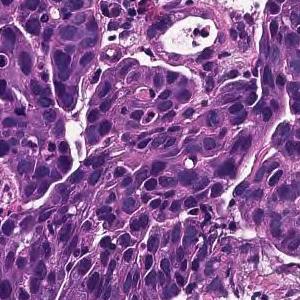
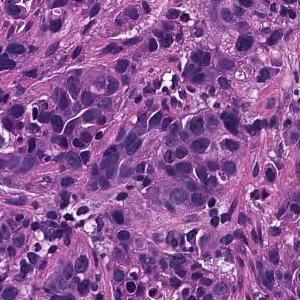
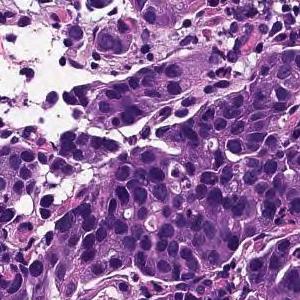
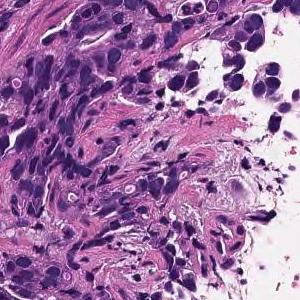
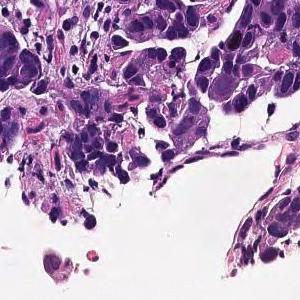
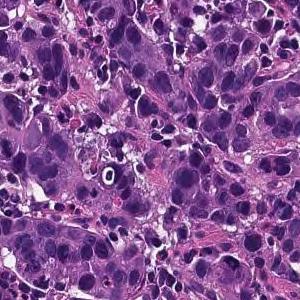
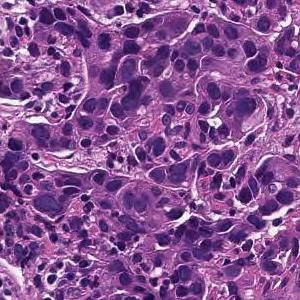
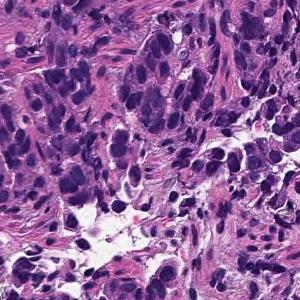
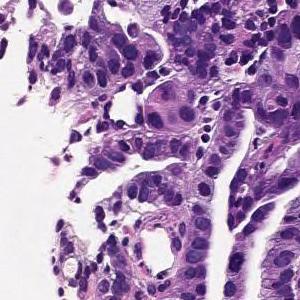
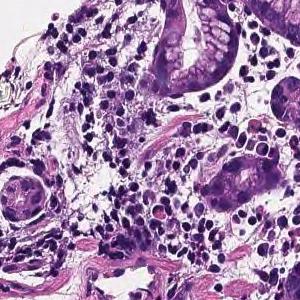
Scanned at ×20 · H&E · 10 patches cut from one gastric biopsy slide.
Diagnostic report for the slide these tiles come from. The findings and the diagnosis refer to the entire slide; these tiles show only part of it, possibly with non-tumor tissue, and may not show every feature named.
The superficial epithelium shows small cord-like infiltrating tumor tissue. There is no mucin production in tumor cells. Poorly differentiated adenocarcinoma, non-solid type
"Non-solid type" is a category of the Japanese Classification of Gastric Carcinoma.
